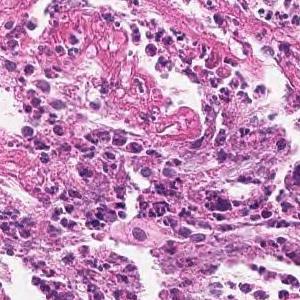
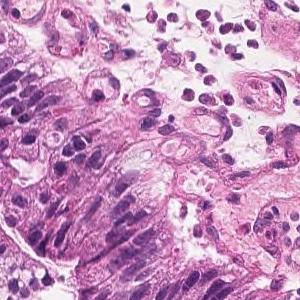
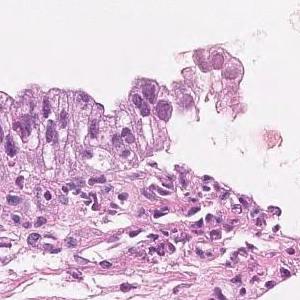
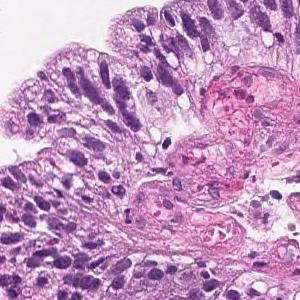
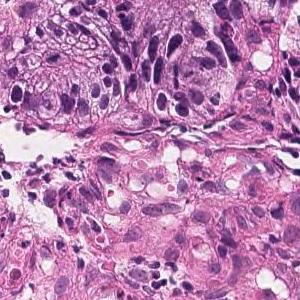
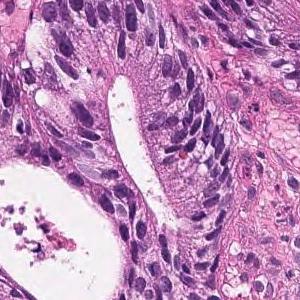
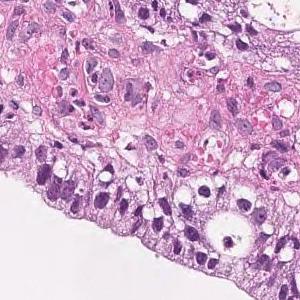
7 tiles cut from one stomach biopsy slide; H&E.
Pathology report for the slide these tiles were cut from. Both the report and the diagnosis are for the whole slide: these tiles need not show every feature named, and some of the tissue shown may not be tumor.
On the superficial epithelium, tumor tissue that infiltrates by forming medium-sized papillary or small irregular ducts is observed. Papillary adenocarcinoma
